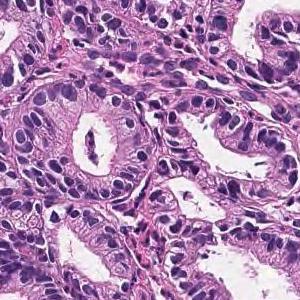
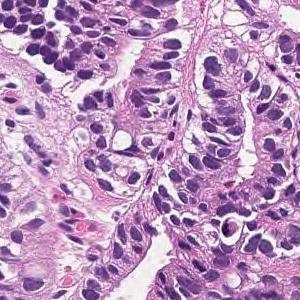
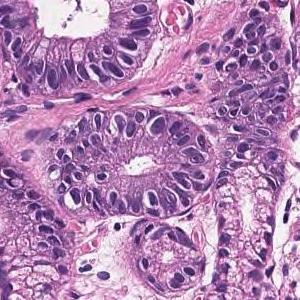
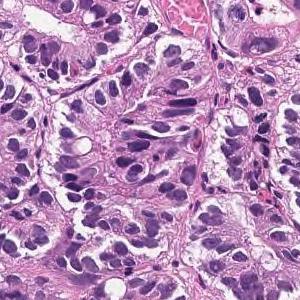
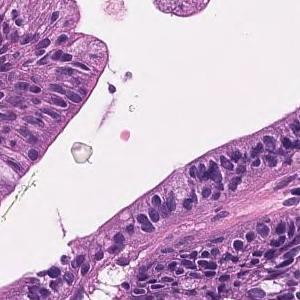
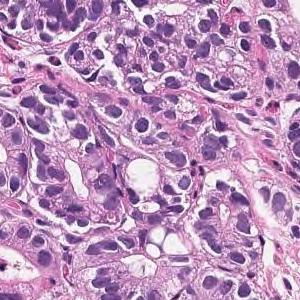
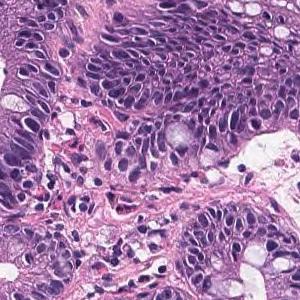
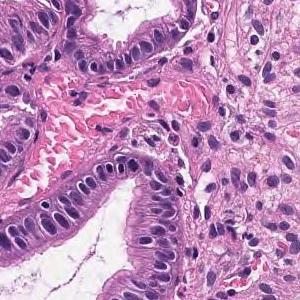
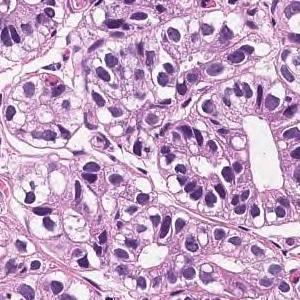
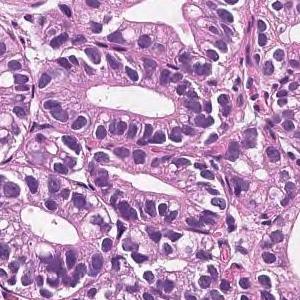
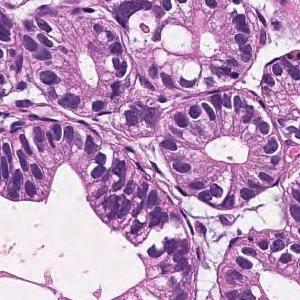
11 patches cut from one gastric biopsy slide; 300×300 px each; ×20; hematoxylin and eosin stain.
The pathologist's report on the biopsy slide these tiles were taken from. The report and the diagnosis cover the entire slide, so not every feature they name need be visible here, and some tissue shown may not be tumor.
In the superficial epithelium, tumor tissue that invades by forming medium-sized to small, irregular ducts is observed. Well differentiated tubular adenocarcinoma.
